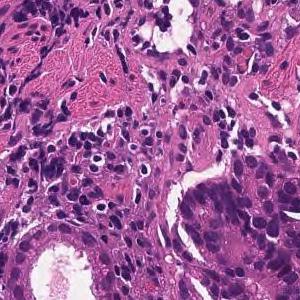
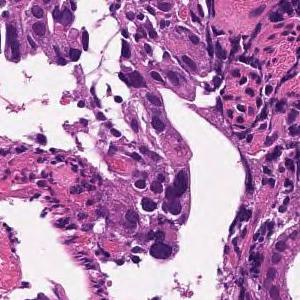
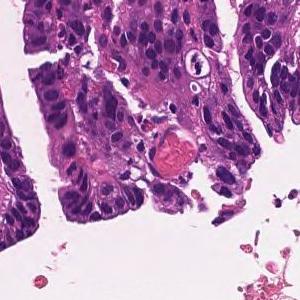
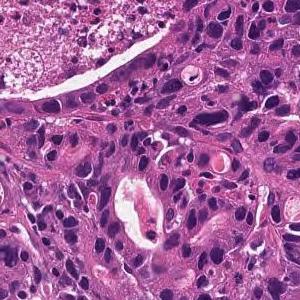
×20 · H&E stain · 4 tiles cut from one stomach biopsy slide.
Pathology report for the biopsy slide these tiles were cut from. The report and the diagnosis cover the entire slide, so not every feature they name need be visible here, and some tissue shown may not be tumor.
In the superficial epithelium, tumor tissue that invades by forming medium-sized to small, irregular ducts is observed. moderately differentiated tubular adenocarcinoma.
